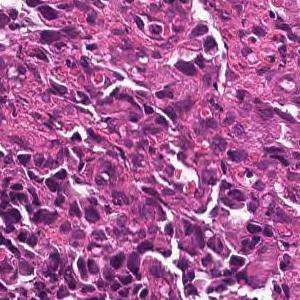
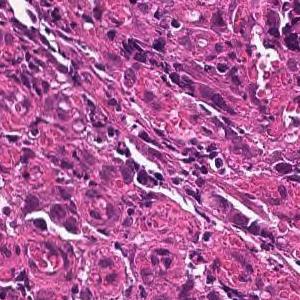
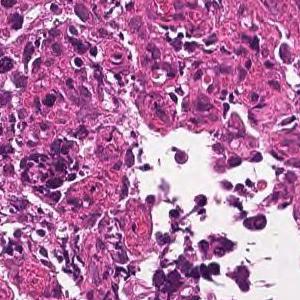
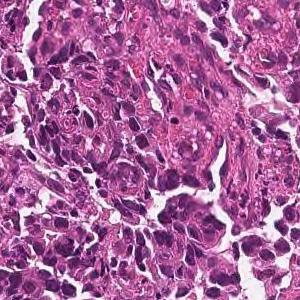
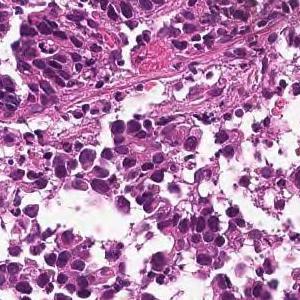
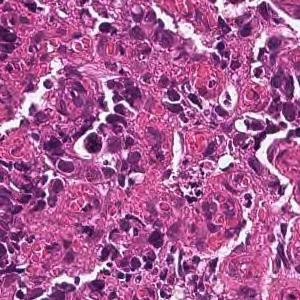
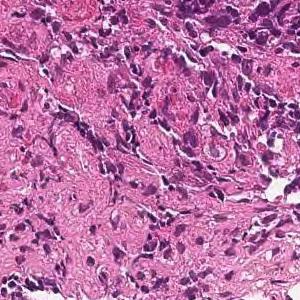
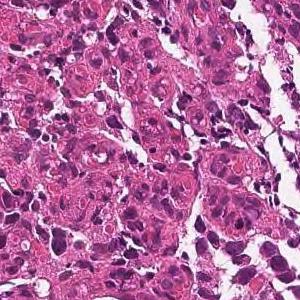
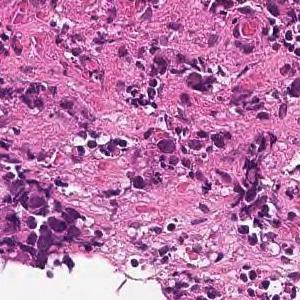
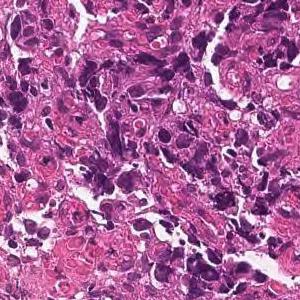
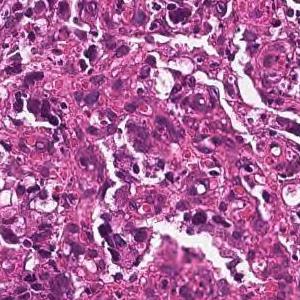
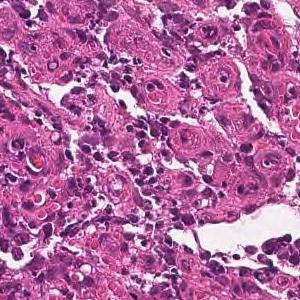
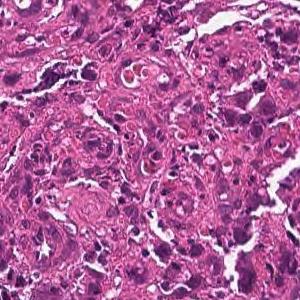
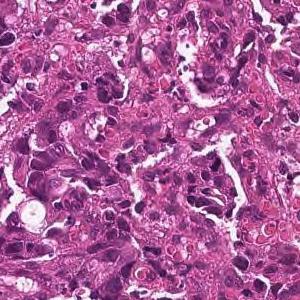
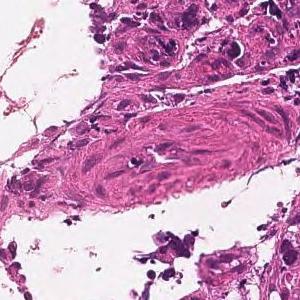
15 tiles from the same stomach biopsy slide; hematoxylin and eosin stain.
Pathology report for the slide these tiles were cut from. The report and the diagnosis describe the slide as a whole, so these tiles may not show every feature named and may include non-tumor tissue.
Tumor tissue consisting of medium-sized, cord-like or irregular glandular infiltration is observed in the superficial epithelium. Poorly differentiated adenocarcinoma, non-solid type or moderately differentiated tubular adenocarcinoma
Histologic type: Moderately to poorly differentiated adenocarcinoma.
The term "non-solid type" comes from the Japanese Classification of Gastric Carcinoma.
